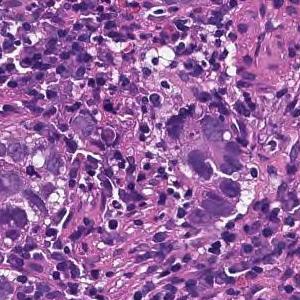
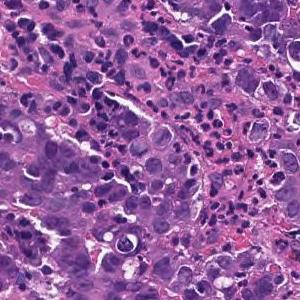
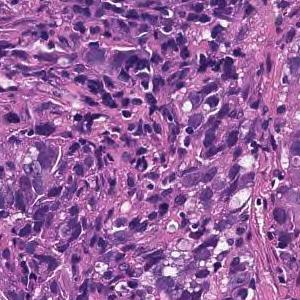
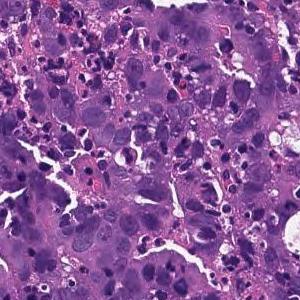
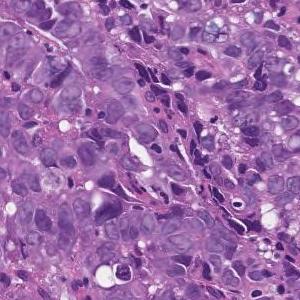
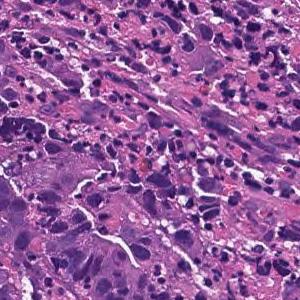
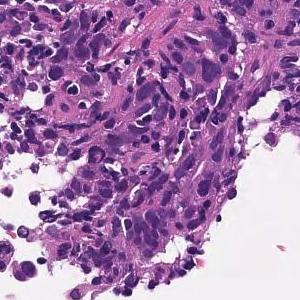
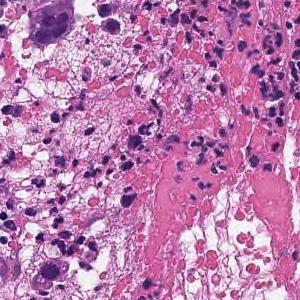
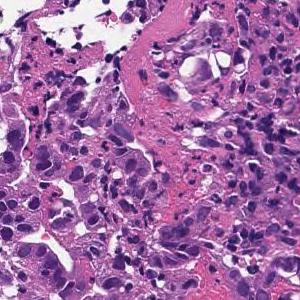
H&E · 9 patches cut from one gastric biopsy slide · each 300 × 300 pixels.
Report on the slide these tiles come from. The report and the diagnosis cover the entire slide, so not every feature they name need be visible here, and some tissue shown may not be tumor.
Tumor tissue consisting of cord-like or small, irregular glandular ducts fused and infiltrated is observed in the superficial epithelium. Poorly differentiated adenocarcinoma, non-solid type
"Non-solid type" is a category of the Japanese Classification of Gastric Carcinoma.
